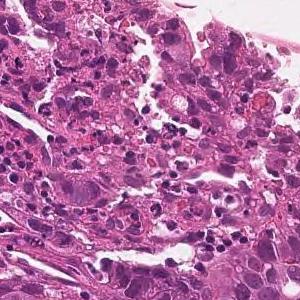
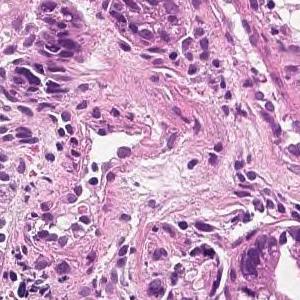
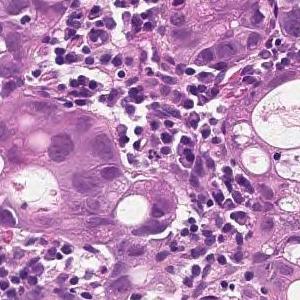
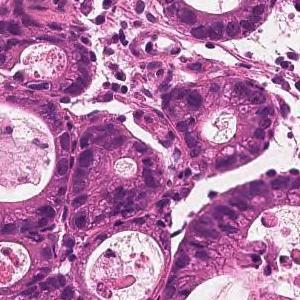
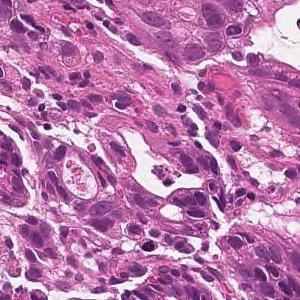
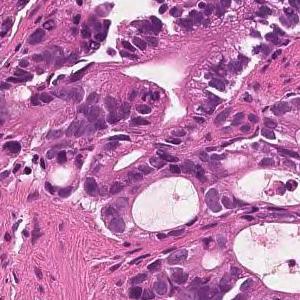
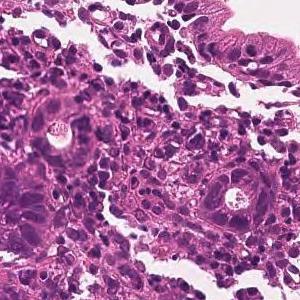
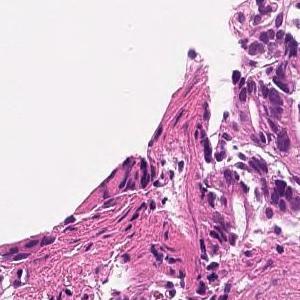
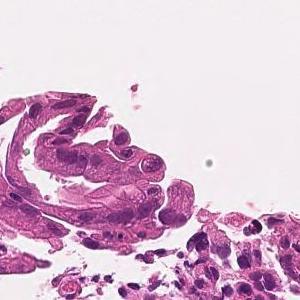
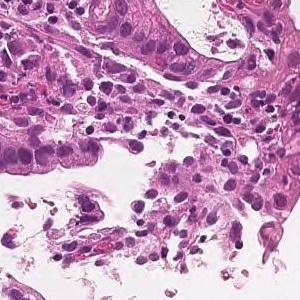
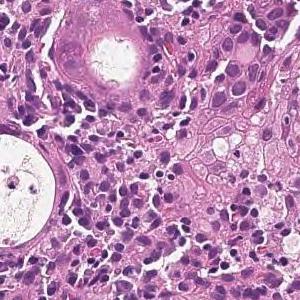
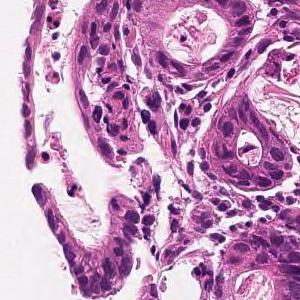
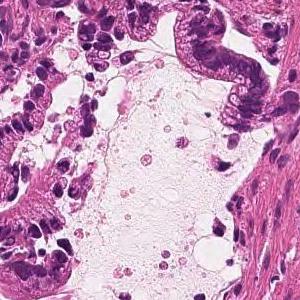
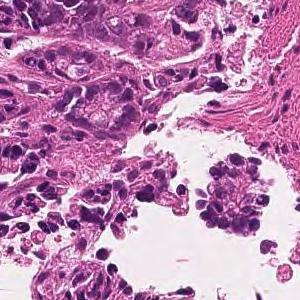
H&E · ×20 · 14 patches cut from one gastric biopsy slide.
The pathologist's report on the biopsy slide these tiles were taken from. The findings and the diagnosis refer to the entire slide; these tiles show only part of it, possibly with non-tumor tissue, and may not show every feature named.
On the superficial epithelium, tumor tissue is found in which medium-sized irregular gland ducts fuse with each other and infiltrate. moderately differentiated tubular adenocarcinoma
